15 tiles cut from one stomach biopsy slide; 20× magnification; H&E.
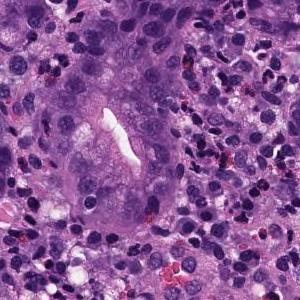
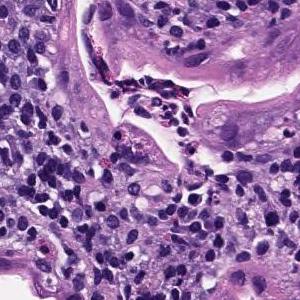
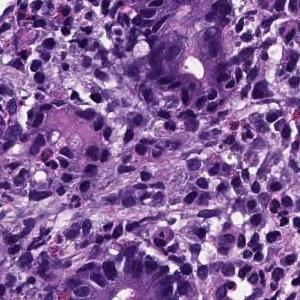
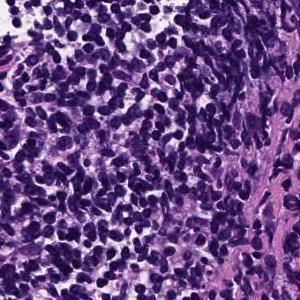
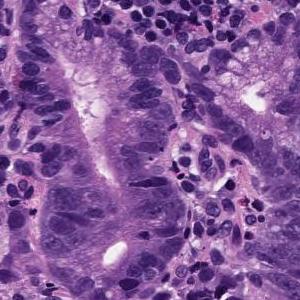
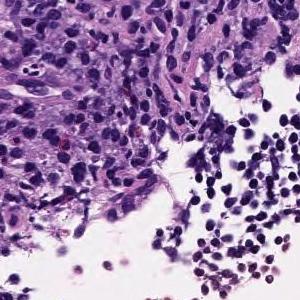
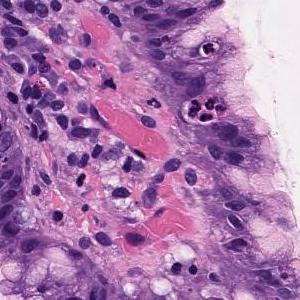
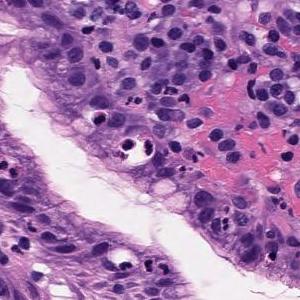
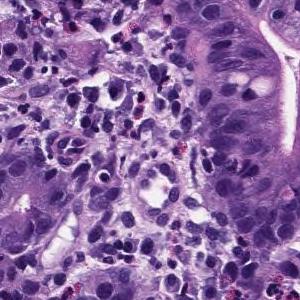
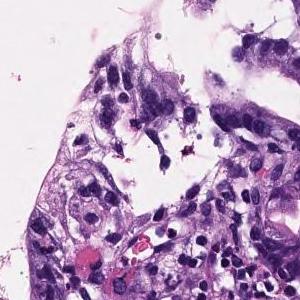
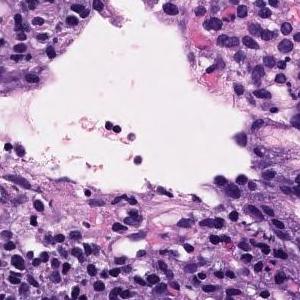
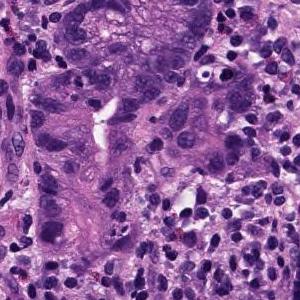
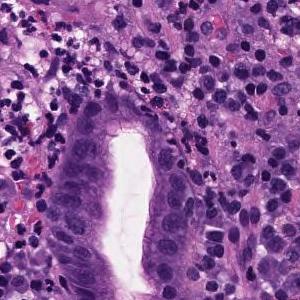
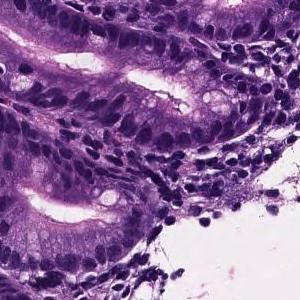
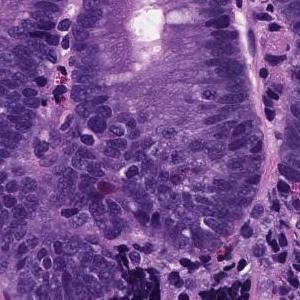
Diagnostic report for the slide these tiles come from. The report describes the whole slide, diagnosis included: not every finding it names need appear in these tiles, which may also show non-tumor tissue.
Medium to small, irregular glandular ducts are formed in the superficial epithelium, and in some cases, the glandular ducts are fused to show solid alveolar lesions and infiltrating tumor tissue is observed. Moderately to poorly differentiated adenocarcinoma.
